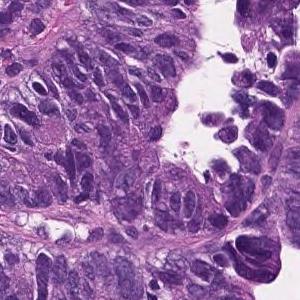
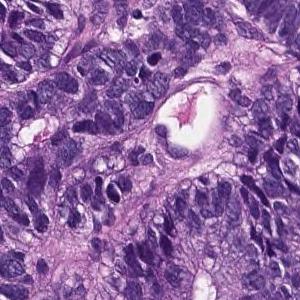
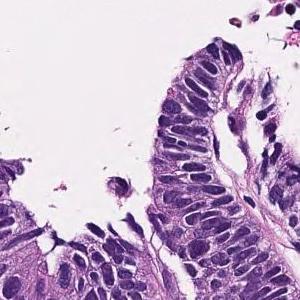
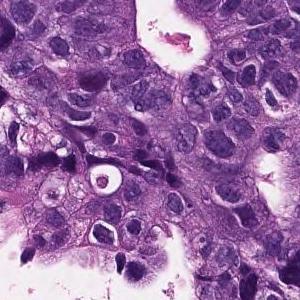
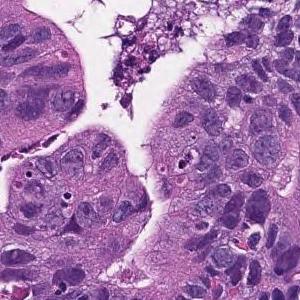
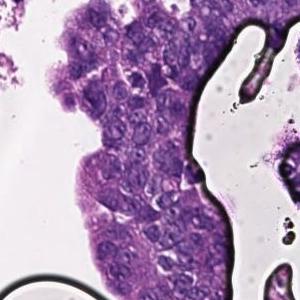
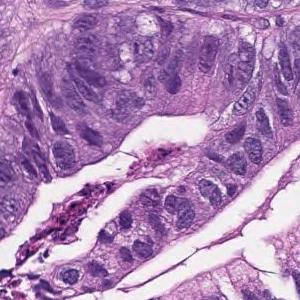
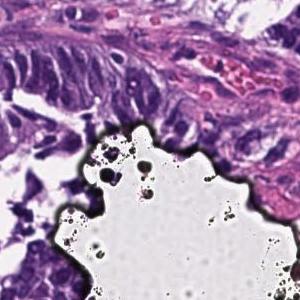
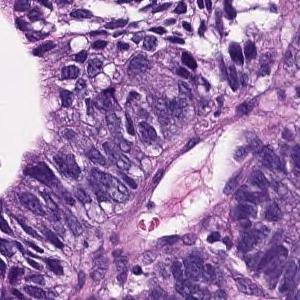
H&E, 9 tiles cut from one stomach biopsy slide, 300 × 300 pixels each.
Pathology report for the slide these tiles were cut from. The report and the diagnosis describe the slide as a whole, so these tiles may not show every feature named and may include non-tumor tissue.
In the superficial epithelium, tumor tissue that invades by forming medium-sized to small, irregular ducts is observed. moderately differentiated tubular adenocarcinoma.
